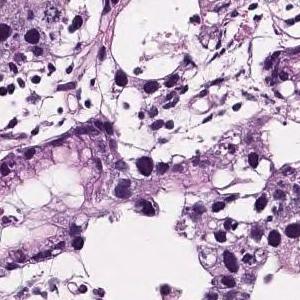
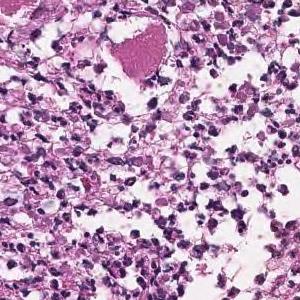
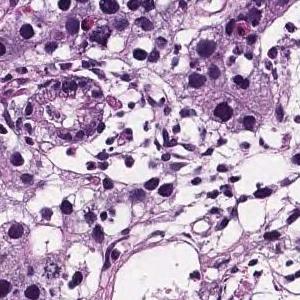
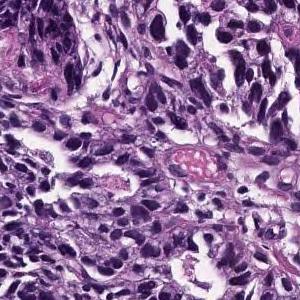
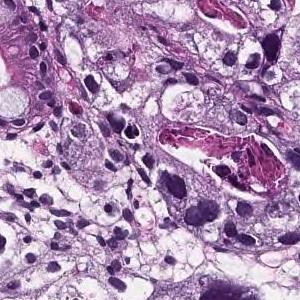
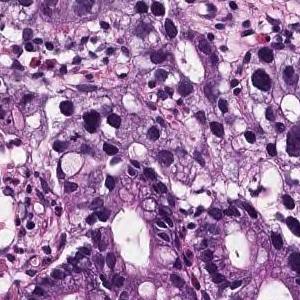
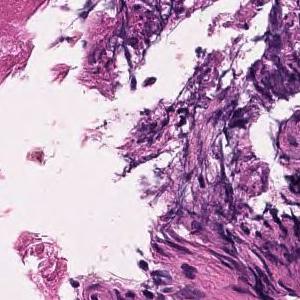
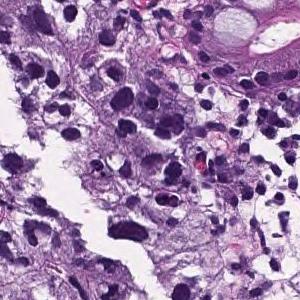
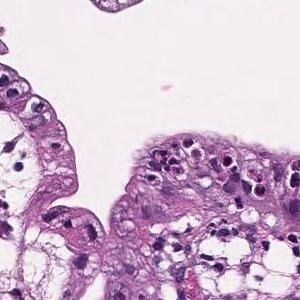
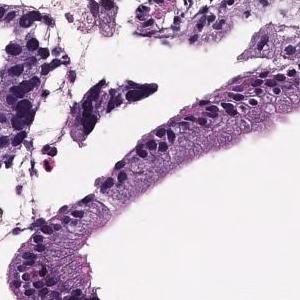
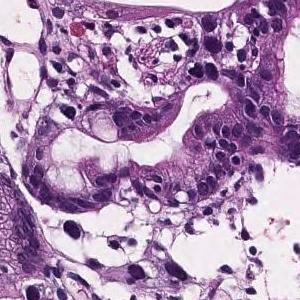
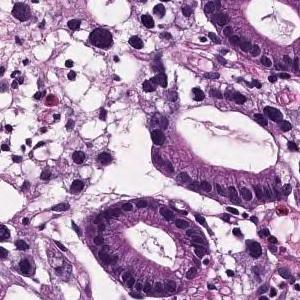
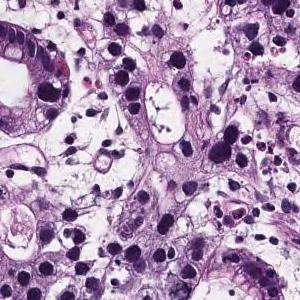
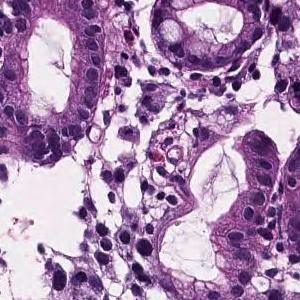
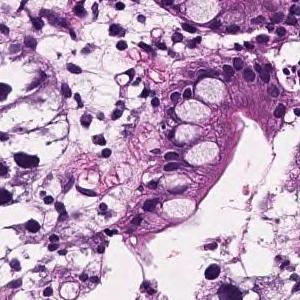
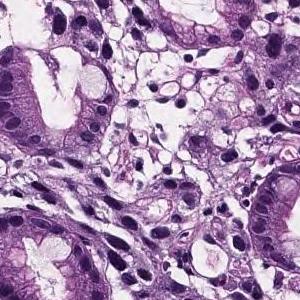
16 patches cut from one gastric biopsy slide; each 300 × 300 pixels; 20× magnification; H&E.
Diagnostic report for the slide these tiles come from. What the report and the diagnosis say applies to the whole slide; these tiles may miss some of the features named and may include tissue that is not tumor.
In the superficial epithelium, medium to small irregular gland ducts are formed, and in some cases, the ducts are fused to show solid alveolar lesions and infiltrating tumor tissue is observed. Moderately to poorly differentiated adenocarcinoma
